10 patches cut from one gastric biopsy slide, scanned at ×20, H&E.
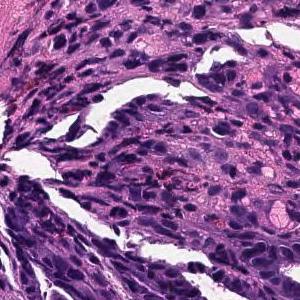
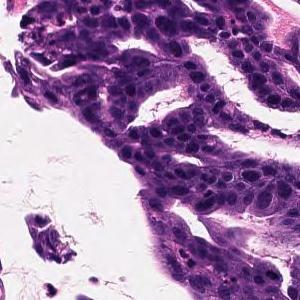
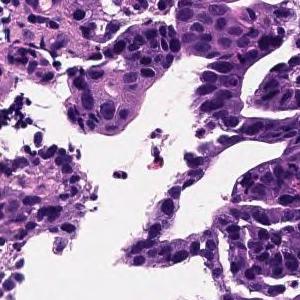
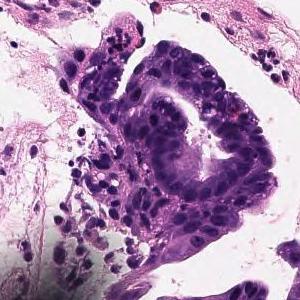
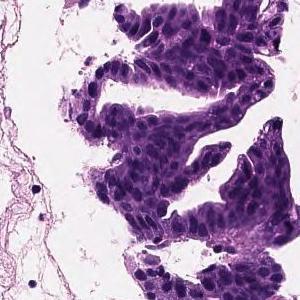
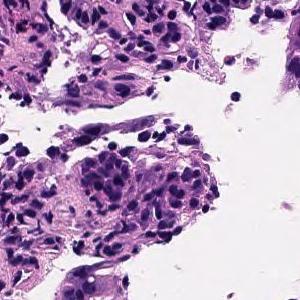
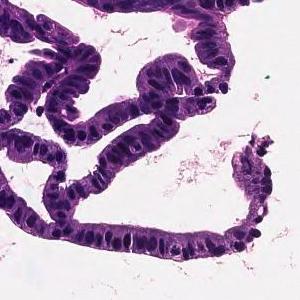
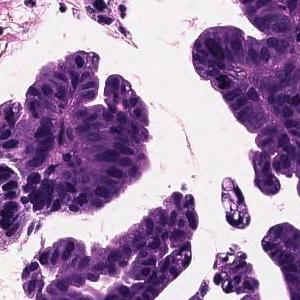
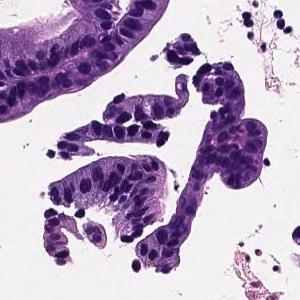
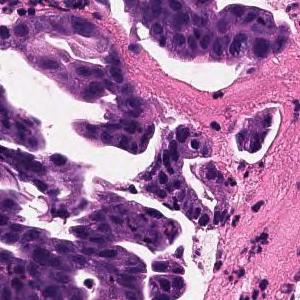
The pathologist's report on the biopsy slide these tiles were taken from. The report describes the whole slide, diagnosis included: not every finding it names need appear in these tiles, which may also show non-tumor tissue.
Tumor cells are large, highly columnar, large club-shaped nuclei, and are associated with chromatin aggregation. Papillary adenocarcinoma.
